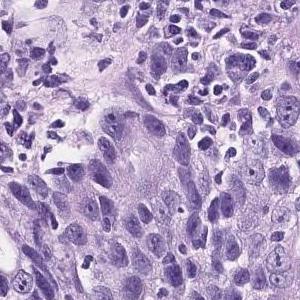
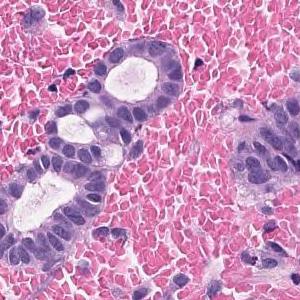
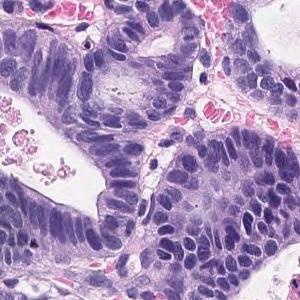
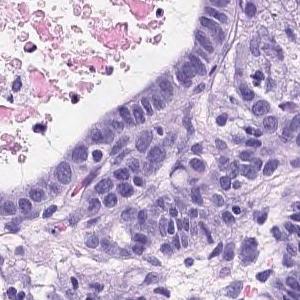
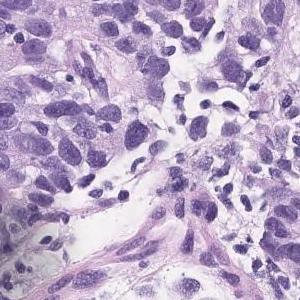
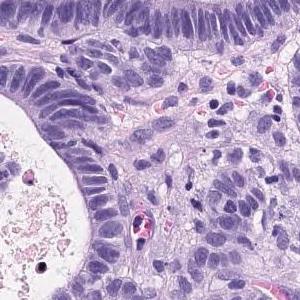
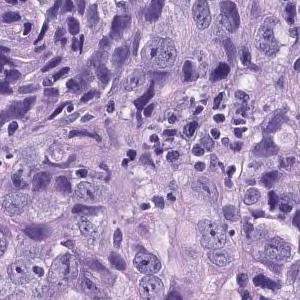
7 image tiles from a single gastric biopsy slide, 300×300 px each, 20× magnification, hematoxylin and eosin stain.
Pathology report for the slide these tiles were cut from. The report and the diagnosis describe the slide as a whole, so these tiles may not show every feature named and may include non-tumor tissue.
The superficial epithelium shows a large sheet-like shape, and some tumor tissue infiltrates with small irregular ducts. Poorly differentiated adenocarcinoma, solid-type
Tumor subtype: poorly differentiated adenocarcinoma, solid type, a category of the Japanese Classification of Gastric Carcinoma; in the WHO 2019 classification it is tubular adenocarcinoma, poorly differentiated.
